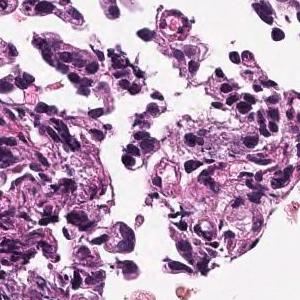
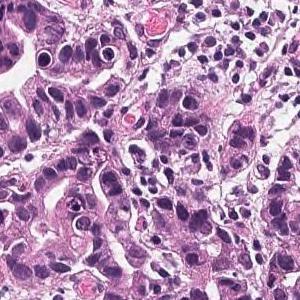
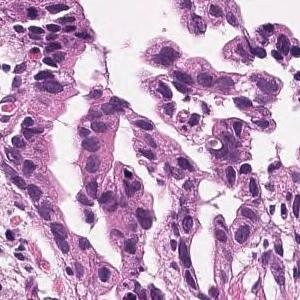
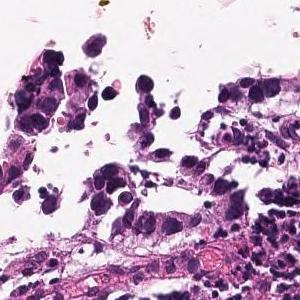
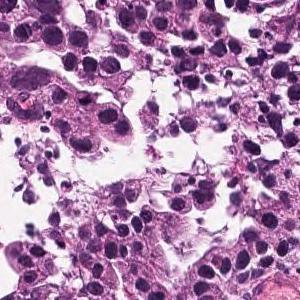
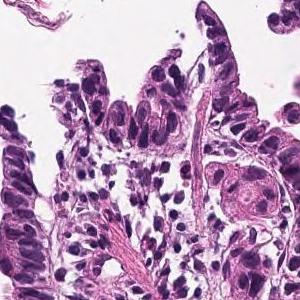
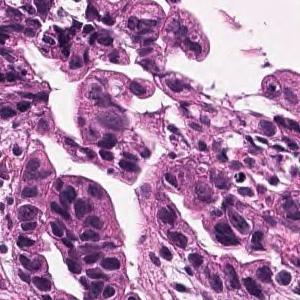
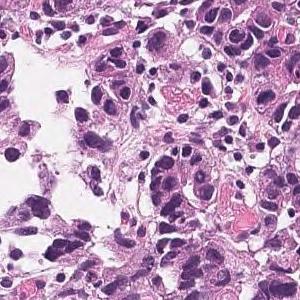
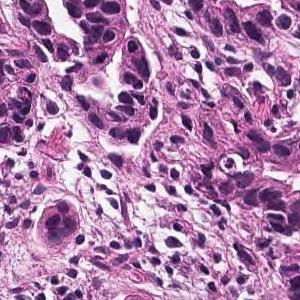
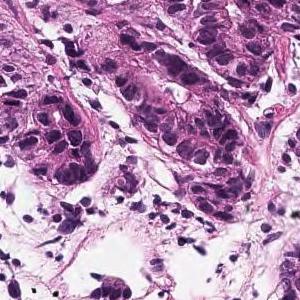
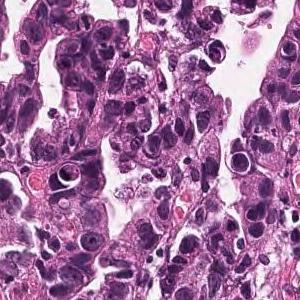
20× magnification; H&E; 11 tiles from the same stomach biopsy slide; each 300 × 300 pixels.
The pathologist's report on the biopsy slide these tiles were taken from. The findings and the diagnosis refer to the entire slide; these tiles show only part of it, possibly with non-tumor tissue, and may not show every feature named.
Medium to small, irregular glandular ducts are formed in the superficial epithelium, and in some cases, the glandular ducts are fused to show solid alveolar lesions and infiltrating tumor tissue is observed. Moderately to poorly differentiated adenocarcinoma.
